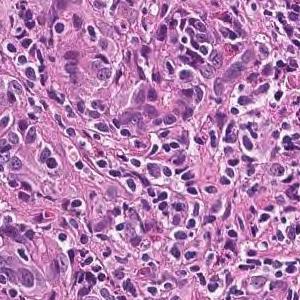
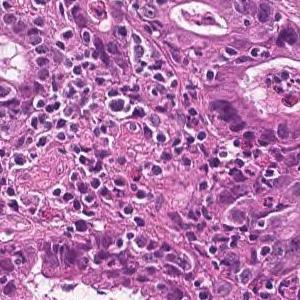
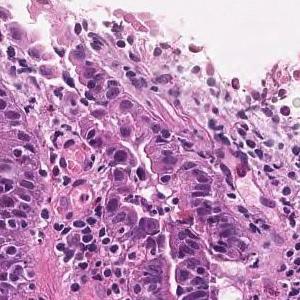
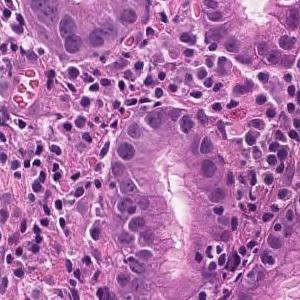
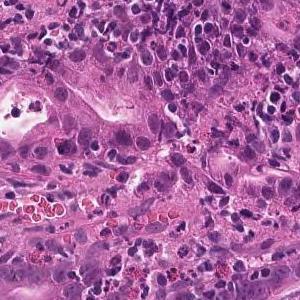
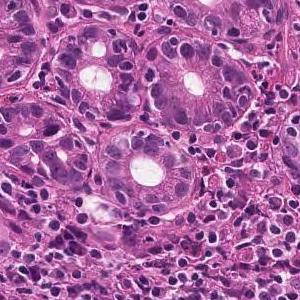
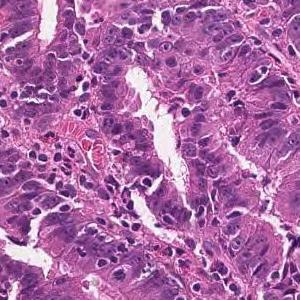
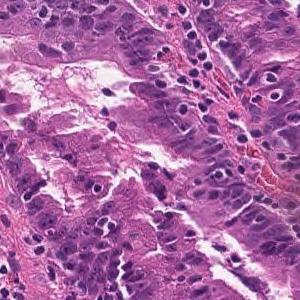
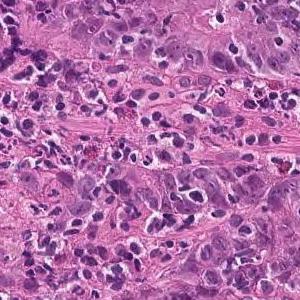
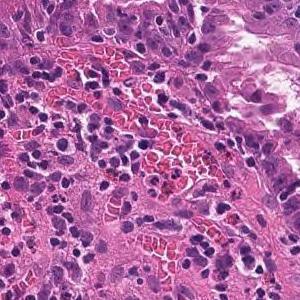
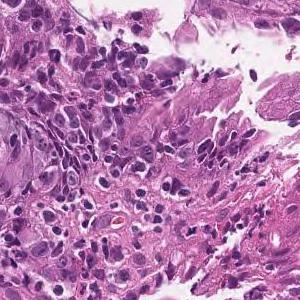
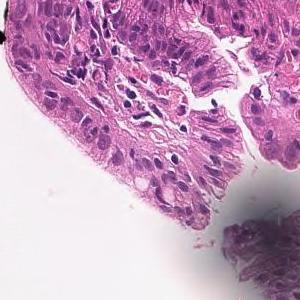
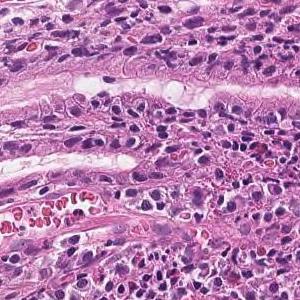
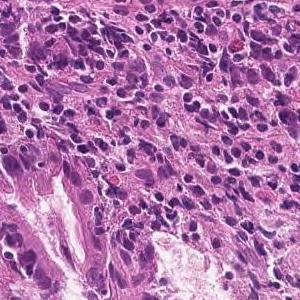
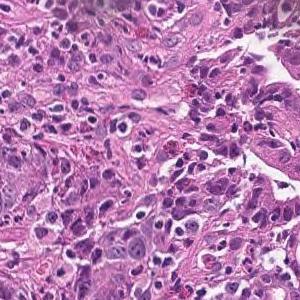
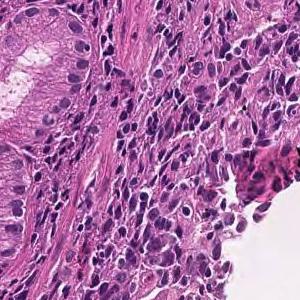
16 tiles cut from one stomach biopsy slide · each 300 × 300 pixels · 20× magnification · hematoxylin and eosin stain.
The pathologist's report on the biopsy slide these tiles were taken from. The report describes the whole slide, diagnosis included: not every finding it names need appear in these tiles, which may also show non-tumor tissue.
Tumor tissue consisting of medium-sized, cord-like or irregular glandular infiltration is observed in the superficial epithelium. Poorly differentiated adenocarcinoma, non-solid type or moderately differentiated tubular adenocarcinoma
Dataset label: poorly differentiated adenocarcinoma, non-solid type.
The non-solid type named here is a Japanese Classification of Gastric Carcinoma category.
